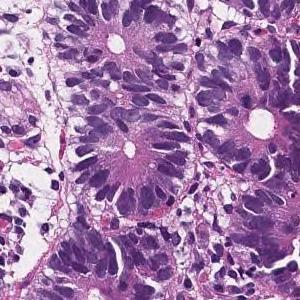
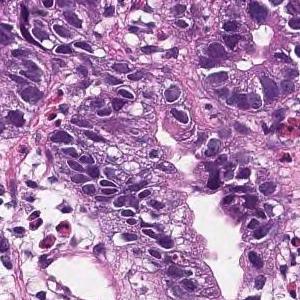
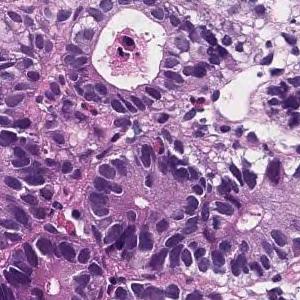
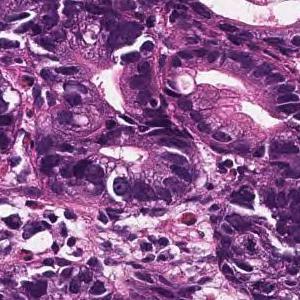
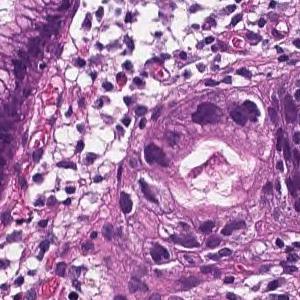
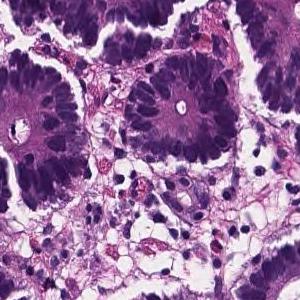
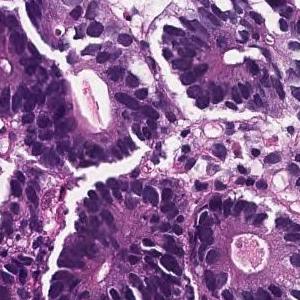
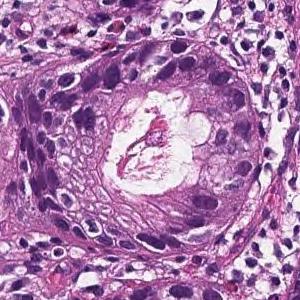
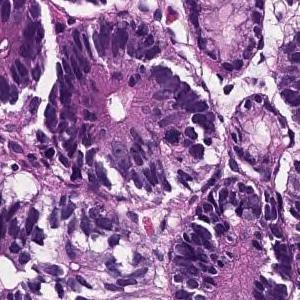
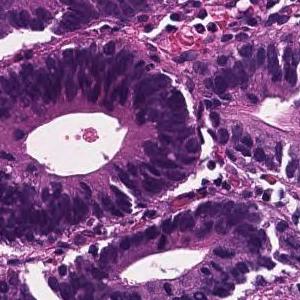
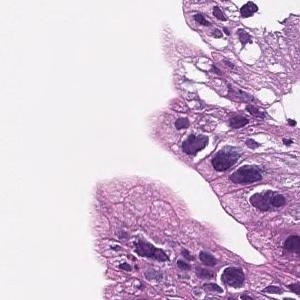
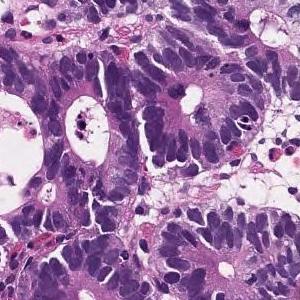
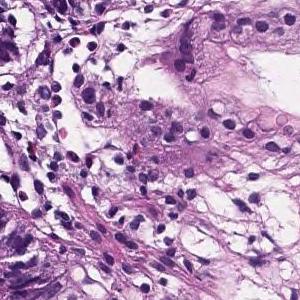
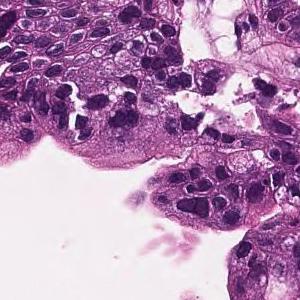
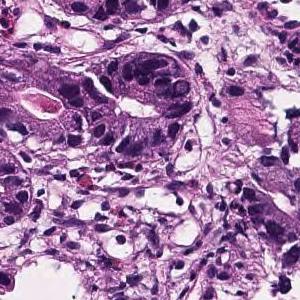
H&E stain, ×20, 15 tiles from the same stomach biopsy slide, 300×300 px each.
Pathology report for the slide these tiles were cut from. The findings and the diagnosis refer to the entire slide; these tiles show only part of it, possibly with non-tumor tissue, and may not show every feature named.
On the superficial epithelium, tumor tissue consisting of large, irregular glandular ducts partially fused and infiltrated is observed. Well to moderately differentiated tubular adenocarcinoma (well differentiated tubular adenocarcinoma, moderately differentiated tubular adenocarcinoma)
Histologic type: Well to moderately differentiated tubular adenocarcinoma.
